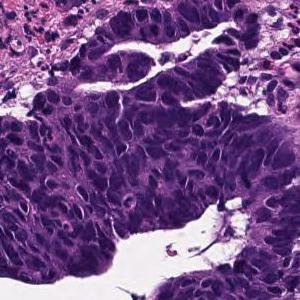
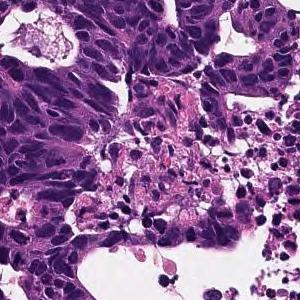
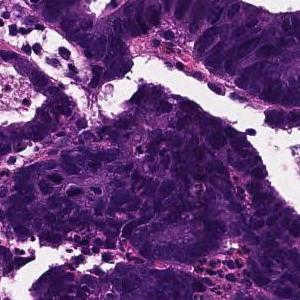
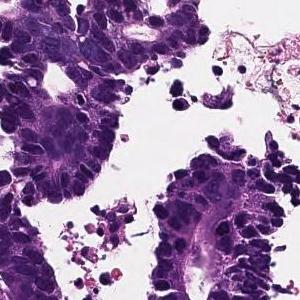
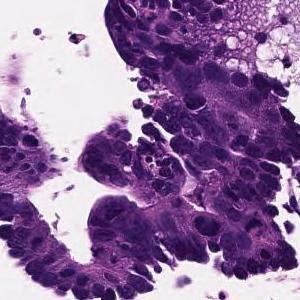
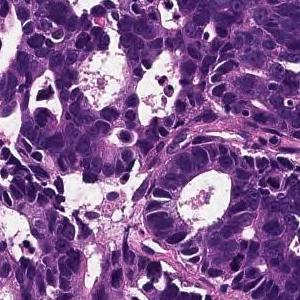
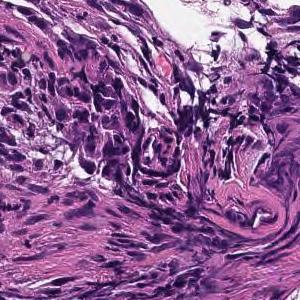
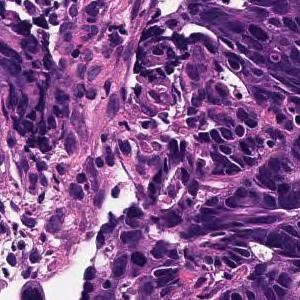
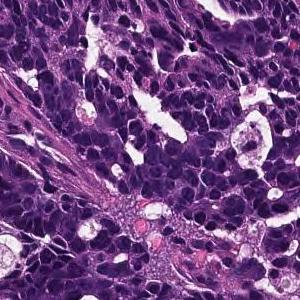
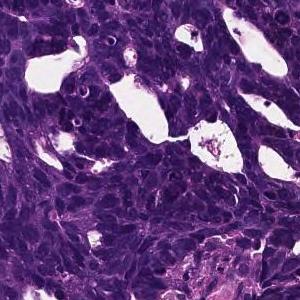
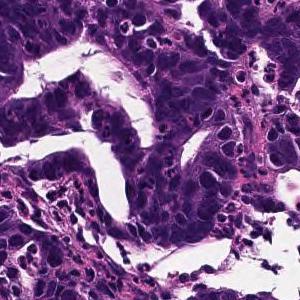
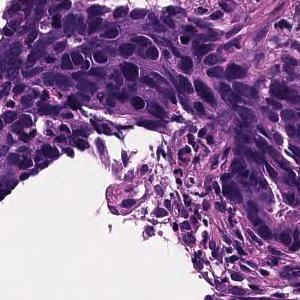
12 tiles from the same stomach biopsy slide, each 300 × 300 pixels, hematoxylin and eosin stain.
Report on the slide these tiles come from. Both the report and the diagnosis are for the whole slide: these tiles need not show every feature named, and some of the tissue shown may not be tumor.
In the superficial epithelium, tumor tissue that invades by forming medium-sized to small, irregular ducts is observed. moderately differentiated tubular adenocarcinoma.
